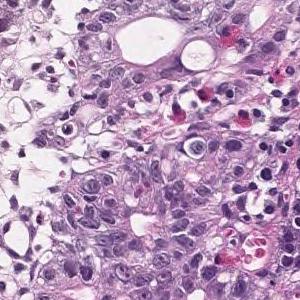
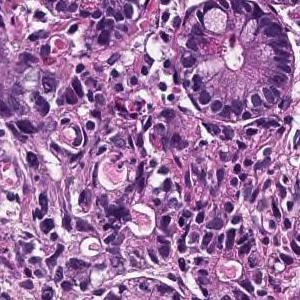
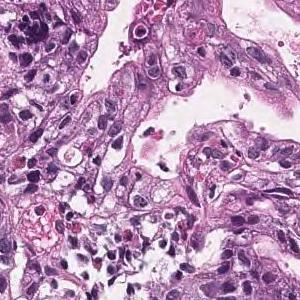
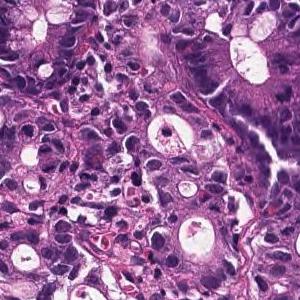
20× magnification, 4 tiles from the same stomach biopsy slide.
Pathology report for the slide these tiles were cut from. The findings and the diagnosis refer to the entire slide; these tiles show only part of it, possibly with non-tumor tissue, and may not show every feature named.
In the superficial epithelium, tumor tissue that invades by forming medium-sized to small, irregular ducts is observed. Moderately differentiated adenocarcinoma.
Subtype: Moderately differentiated tubular adenocarcinoma.
